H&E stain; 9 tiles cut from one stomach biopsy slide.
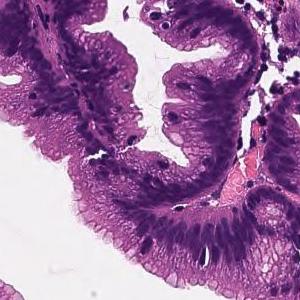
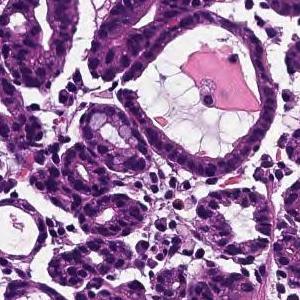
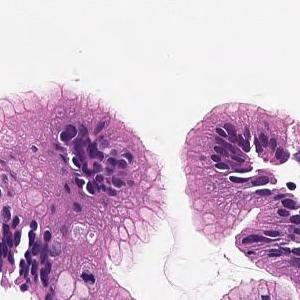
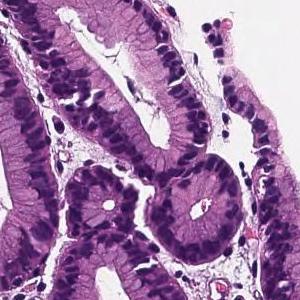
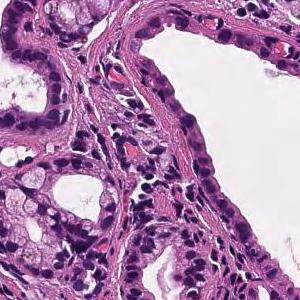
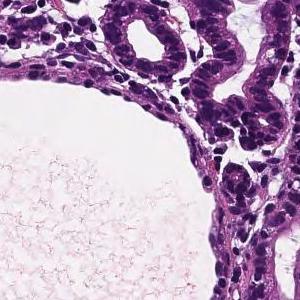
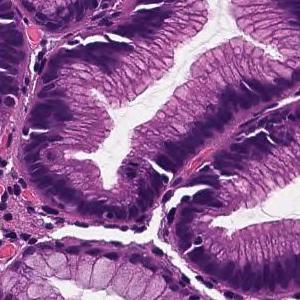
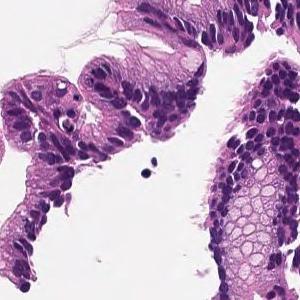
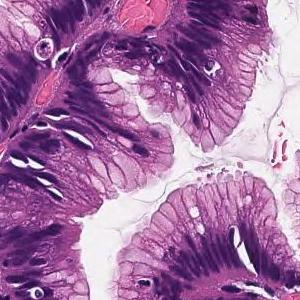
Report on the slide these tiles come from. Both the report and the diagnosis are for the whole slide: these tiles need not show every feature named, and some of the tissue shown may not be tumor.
Cells with elliptical or atypical nuclei form dense ducts with relatively clear growth. Well differentiated tubular adenocarcinoma
